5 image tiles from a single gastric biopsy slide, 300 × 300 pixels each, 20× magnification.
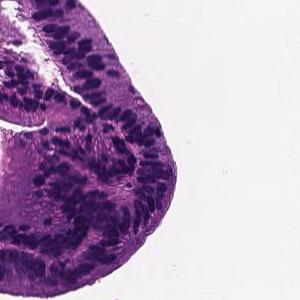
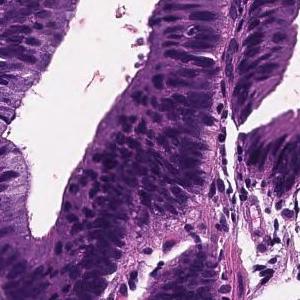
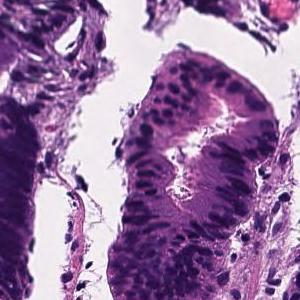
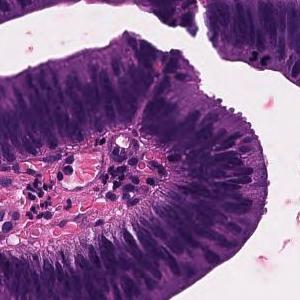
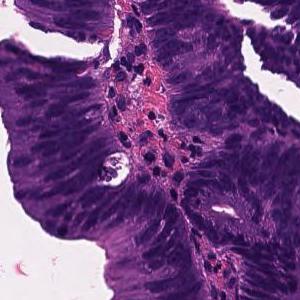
Pathology report for the biopsy slide these tiles were cut from. The report and the diagnosis cover the entire slide, so not every feature they name need be visible here, and some tissue shown may not be tumor.
Tumor tissue consisting of large papillary structures is found in the superficial epithelium. Papillary adenocarcinoma.
